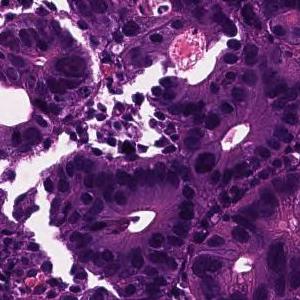
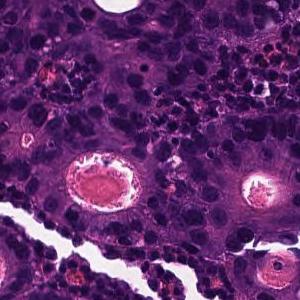
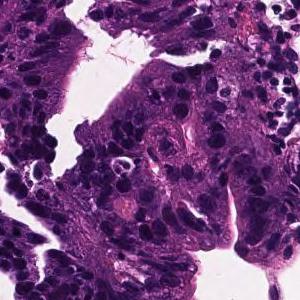
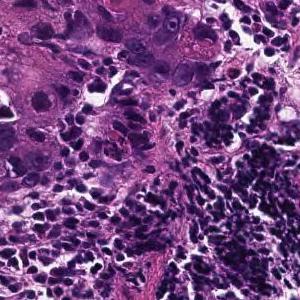
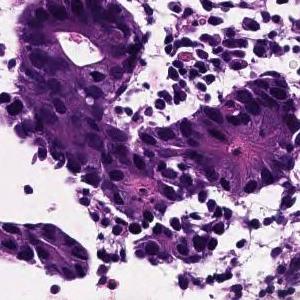
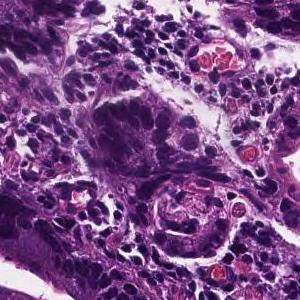
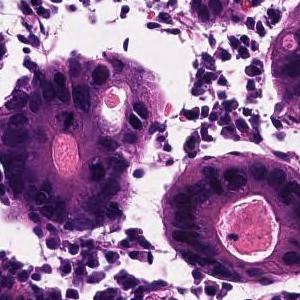
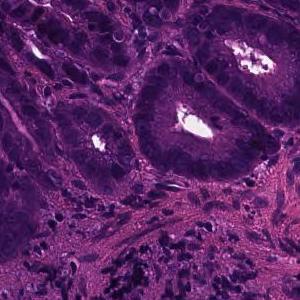
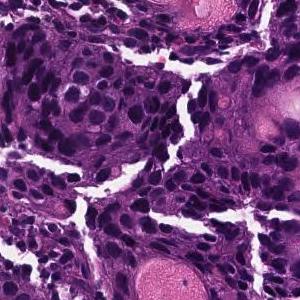
9 image tiles from a single gastric biopsy slide; 300×300 px each; H&E.
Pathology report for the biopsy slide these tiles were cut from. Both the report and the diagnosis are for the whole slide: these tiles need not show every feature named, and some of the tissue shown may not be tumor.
From the superficial epithelium to the muscularis mucosae, tumor tissue infiltrating by forming medium-sized irregular gland ducts is observed. Large tumor cells exhibit large nucleus and hyperchromatism. Well differentiated tubular adenocarcinoma
